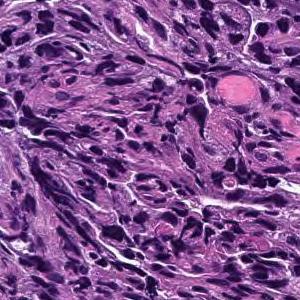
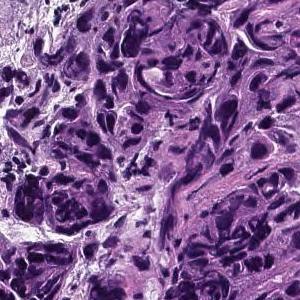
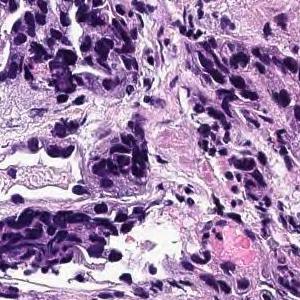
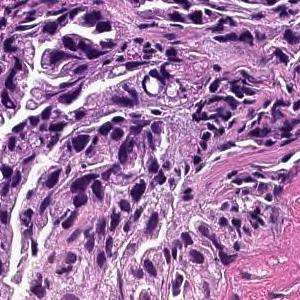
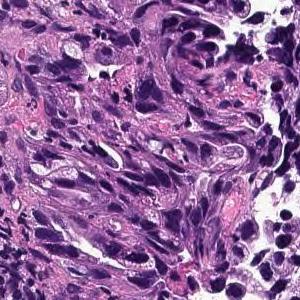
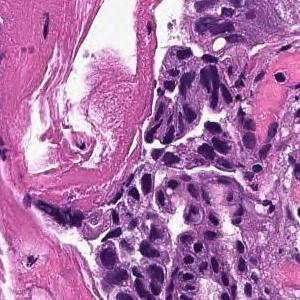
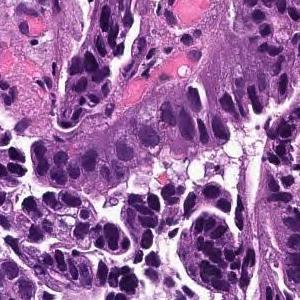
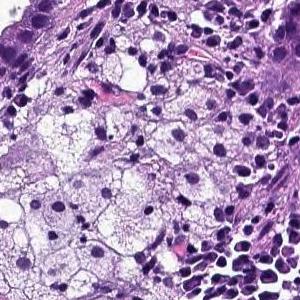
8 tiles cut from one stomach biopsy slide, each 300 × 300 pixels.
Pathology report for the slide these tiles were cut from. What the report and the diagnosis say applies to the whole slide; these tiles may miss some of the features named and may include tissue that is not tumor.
Tumor cells are large, highly columnar, large club-shaped nuclei, and are associated with chromatin aggregation. Papillary adenocarcinoma.
